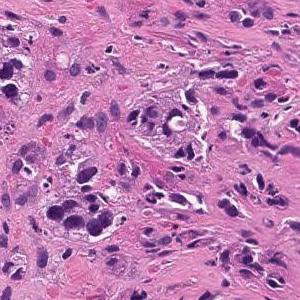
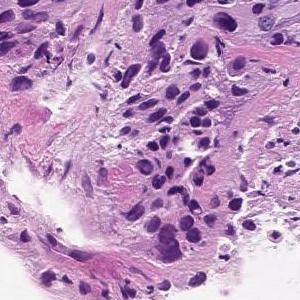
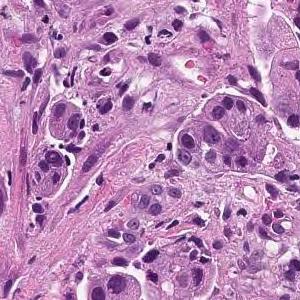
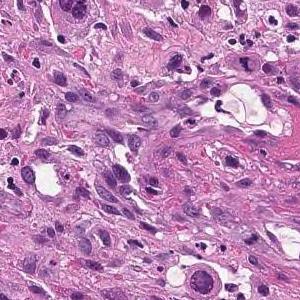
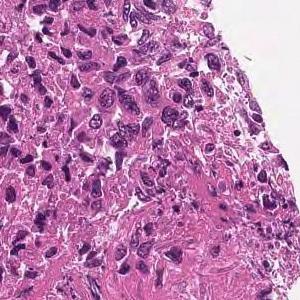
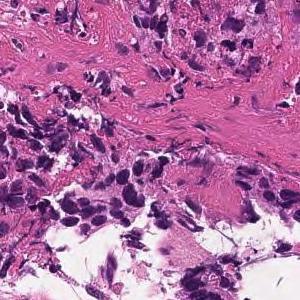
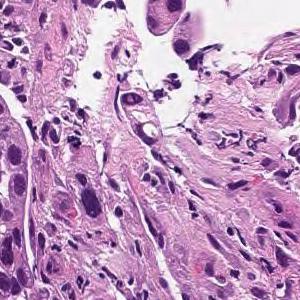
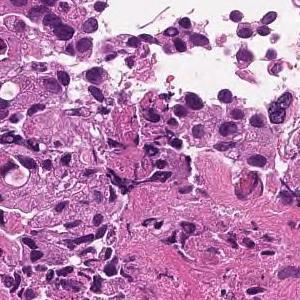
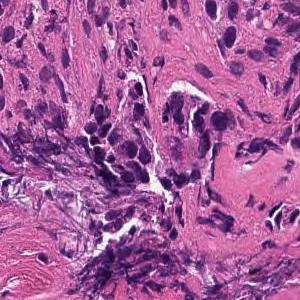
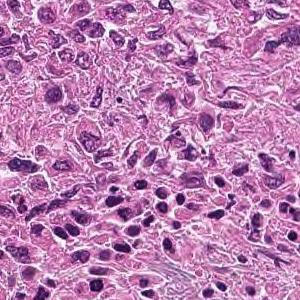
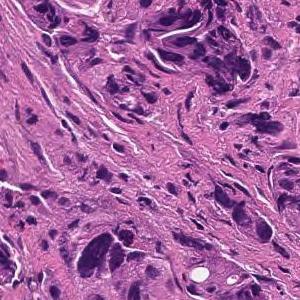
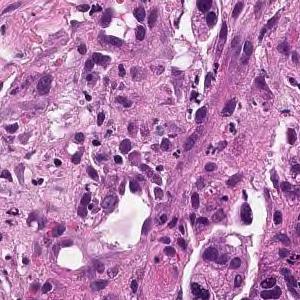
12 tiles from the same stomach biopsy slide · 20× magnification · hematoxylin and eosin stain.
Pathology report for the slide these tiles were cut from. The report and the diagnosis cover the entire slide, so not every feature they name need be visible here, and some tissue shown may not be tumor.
Tumor tissue consisting of cord-like or small, irregular glandular ducts fused and infiltrated is observed in the superficial epithelium. Poorly differentiated adenocarcinoma, non-solid type
The non-solid type named here is a Japanese Classification of Gastric Carcinoma category.
